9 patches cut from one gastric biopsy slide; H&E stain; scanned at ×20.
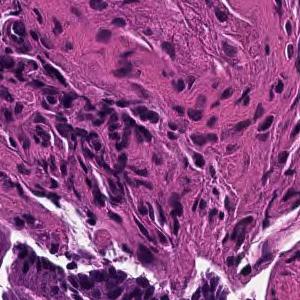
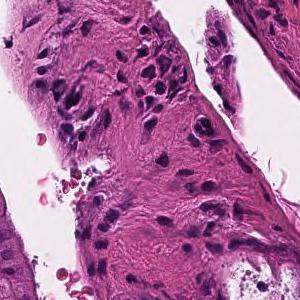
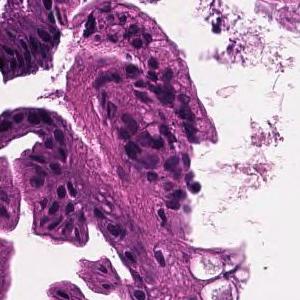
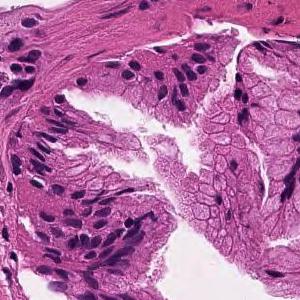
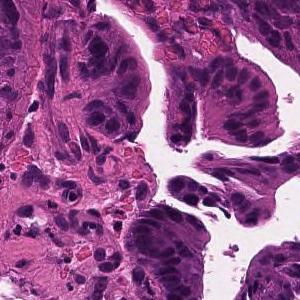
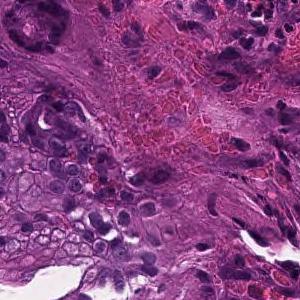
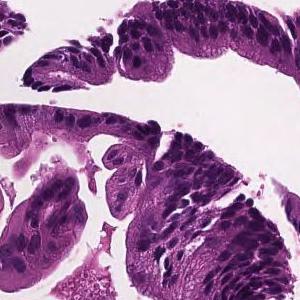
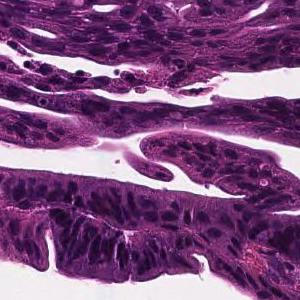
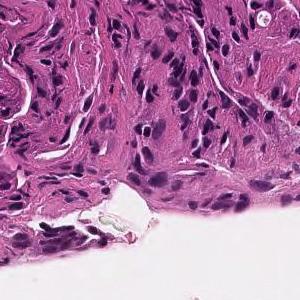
Diagnostic report for the slide these tiles come from. What the report and the diagnosis say applies to the whole slide; these tiles may miss some of the features named and may include tissue that is not tumor.
Tumor cells are large, highly columnar, large club-shaped nuclei, and are associated with chromatin aggregation. Papillary adenocarcinoma.
